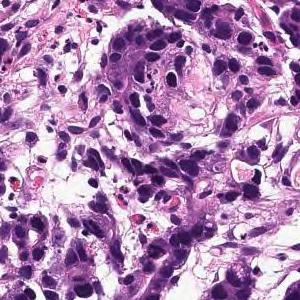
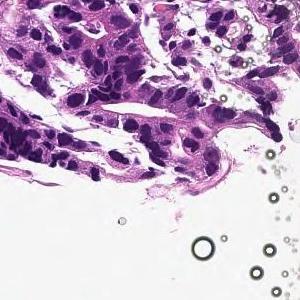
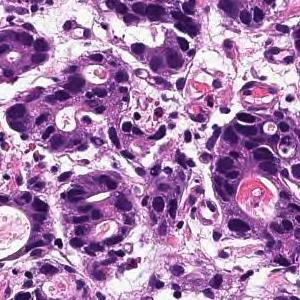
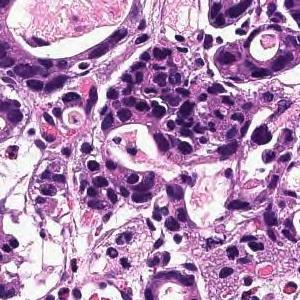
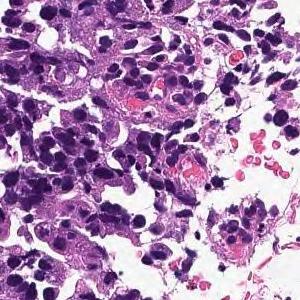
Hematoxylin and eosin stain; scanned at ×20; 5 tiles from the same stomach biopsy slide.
Report on the slide these tiles come from. The findings and the diagnosis refer to the entire slide; these tiles show only part of it, possibly with non-tumor tissue, and may not show every feature named.
In the superficial epithelium, tumor tissue that invades by forming medium-sized to small, irregular ducts is observed. moderately differentiated tubular adenocarcinoma.
